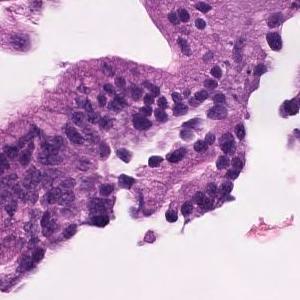
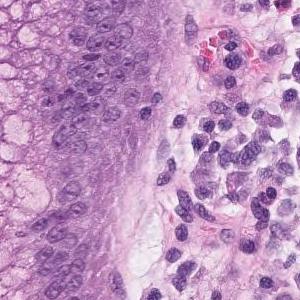
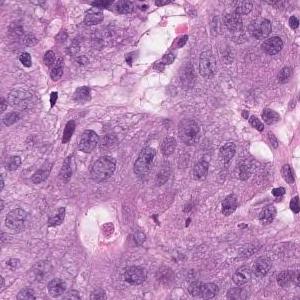
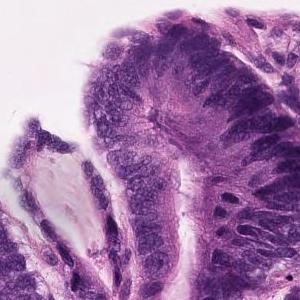
4 image tiles from a single gastric biopsy slide · each 300 × 300 pixels · H&E · scanned at ×20.
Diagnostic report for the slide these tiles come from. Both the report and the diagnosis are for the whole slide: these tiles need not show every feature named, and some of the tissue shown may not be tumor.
On the superficial epithelium, tumor tissue consisting of large, irregular glandular ducts partially fused and infiltrated is observed. Well to moderately differentiated tubular adenocarcinoma (well differentiated tubular adenocarcinoma, moderately differentiated tubular adenocarcinoma)
Histologic type: Well to moderately differentiated tubular adenocarcinoma.
